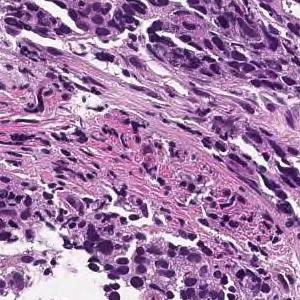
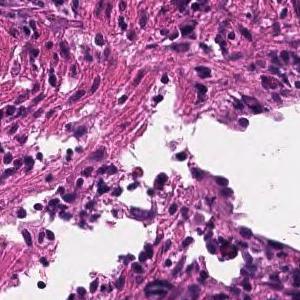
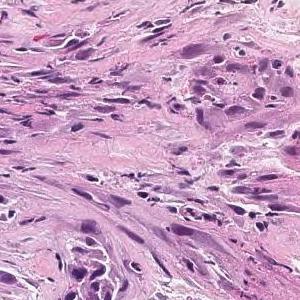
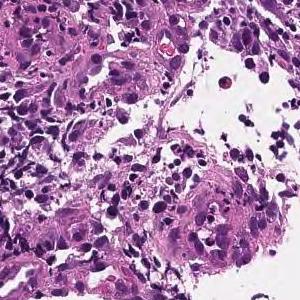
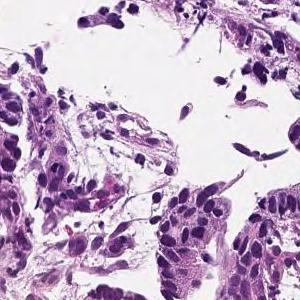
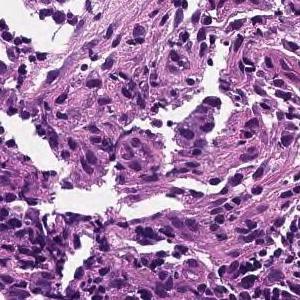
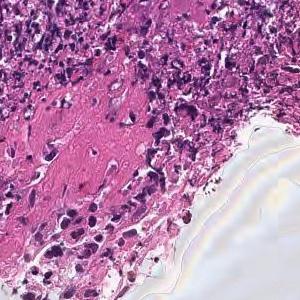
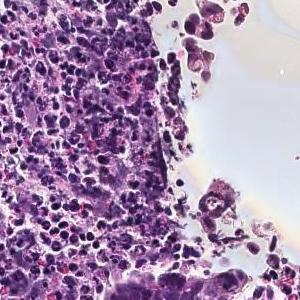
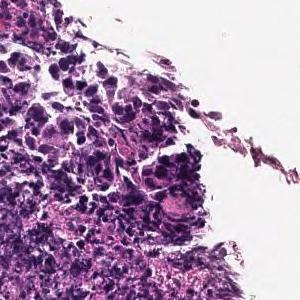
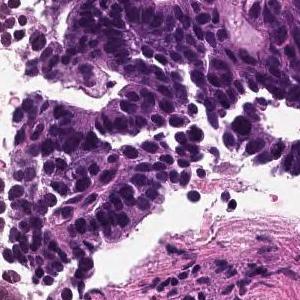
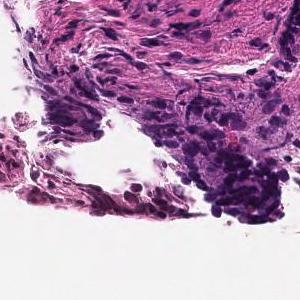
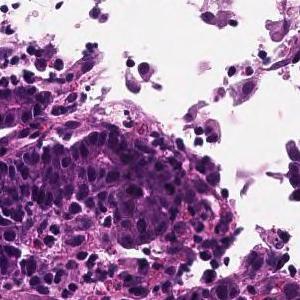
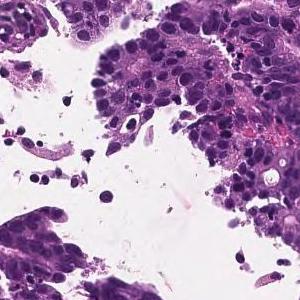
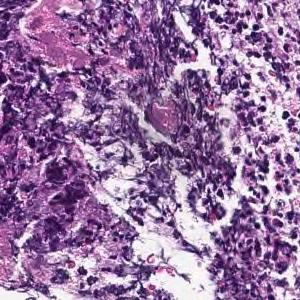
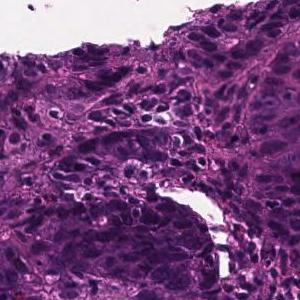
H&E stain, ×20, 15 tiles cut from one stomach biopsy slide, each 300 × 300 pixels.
Pathology report for the biopsy slide these tiles were cut from. The report describes the whole slide, diagnosis included: not every finding it names need appear in these tiles, which may also show non-tumor tissue.
In the superficial epithelium, tumor tissue that invades by forming medium-sized to small, irregular ducts is observed. moderately differentiated tubular adenocarcinoma.
